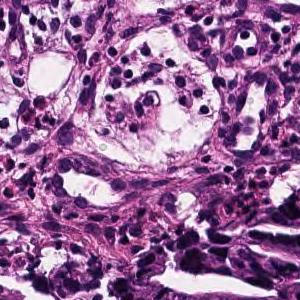
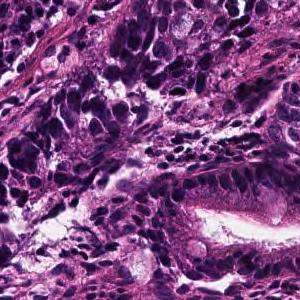
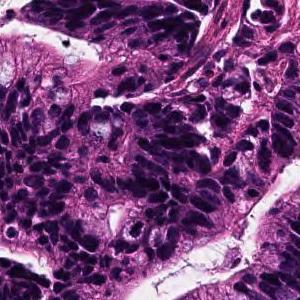
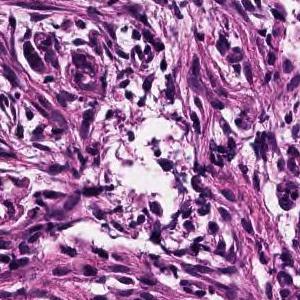
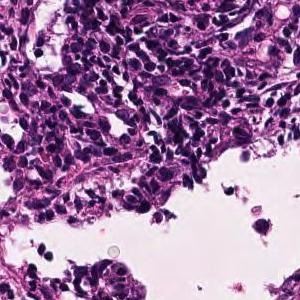
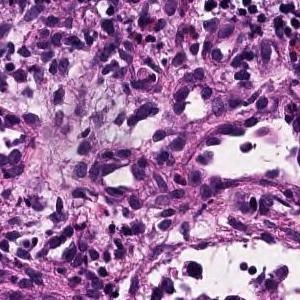
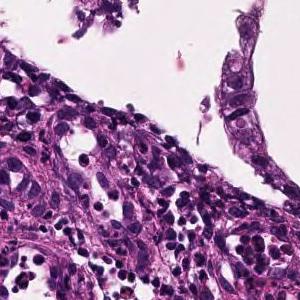
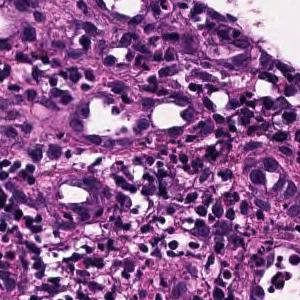
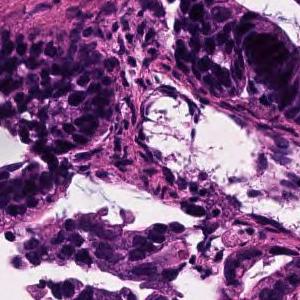
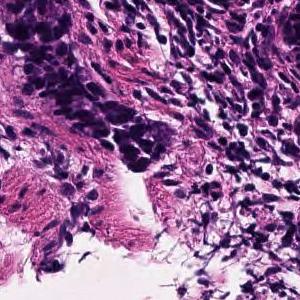
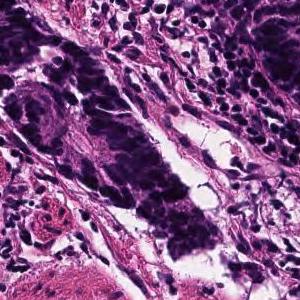
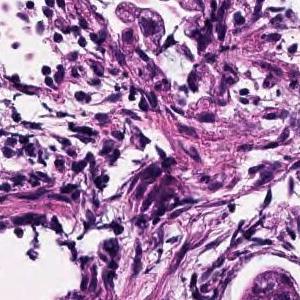
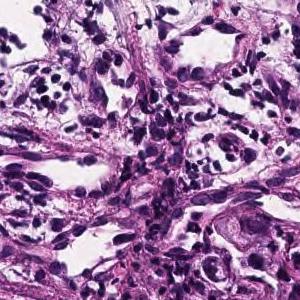
Hematoxylin and eosin stain, 13 patches cut from one gastric biopsy slide, 300 × 300 pixels each.
Report on the slide these tiles come from. Both the report and the diagnosis are for the whole slide: these tiles need not show every feature named, and some of the tissue shown may not be tumor.
On the superficial epithelium, tumor tissue consisting of large, irregular glandular ducts partially fused and infiltrated is observed. Well to moderately differentiated tubular adenocarcinoma (well differentiated tubular adenocarcinoma, moderately differentiated tubular adenocarcinoma)
Subtype: Well to moderately differentiated tubular adenocarcinoma.
